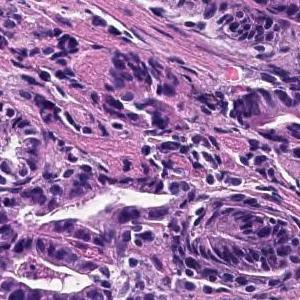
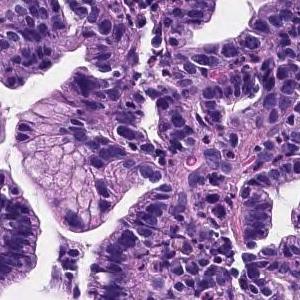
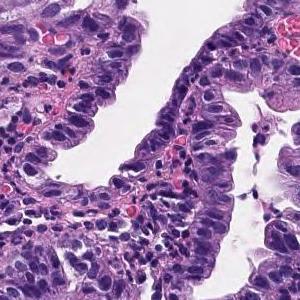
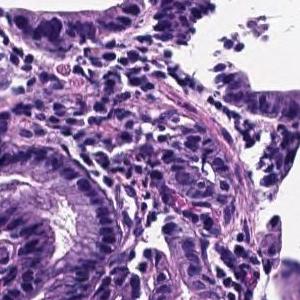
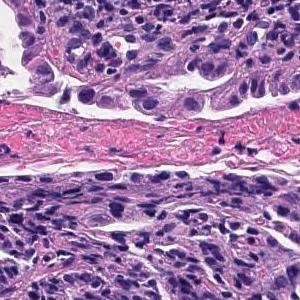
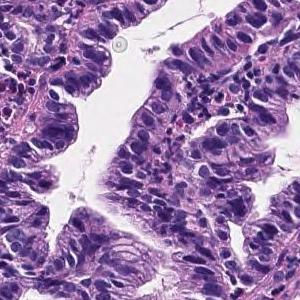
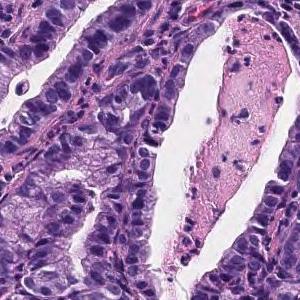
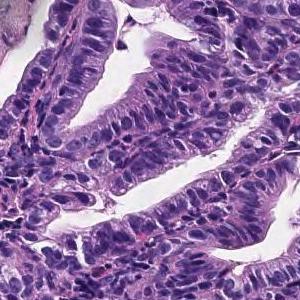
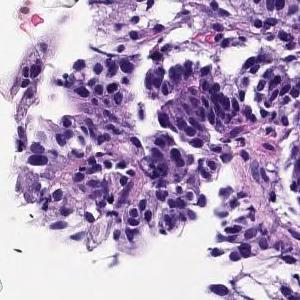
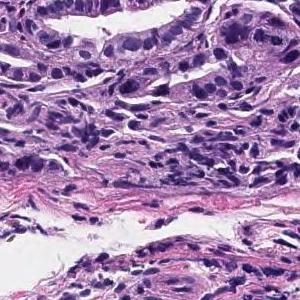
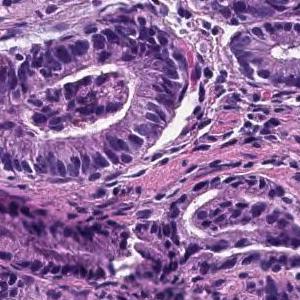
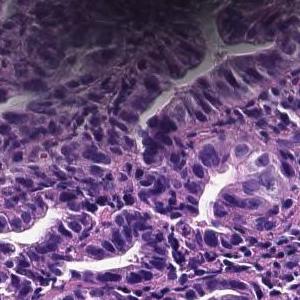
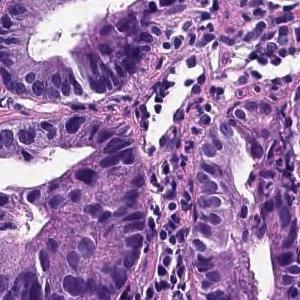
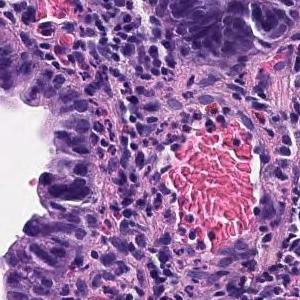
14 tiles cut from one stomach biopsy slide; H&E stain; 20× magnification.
Pathology report for the slide these tiles were cut from. The report and the diagnosis cover the entire slide, so not every feature they name need be visible here, and some tissue shown may not be tumor.
The superficial tumors shows large papillary structures or large and small ducts and infiltrates. Papillary adenocarcinoma.
